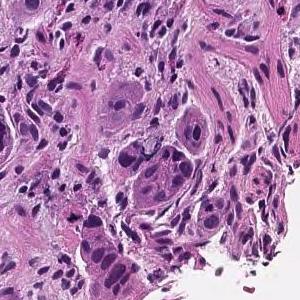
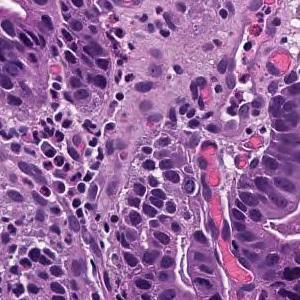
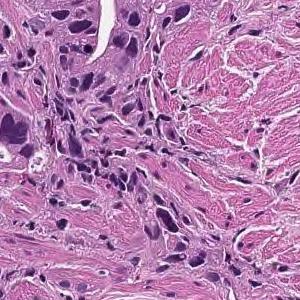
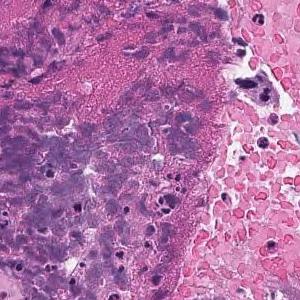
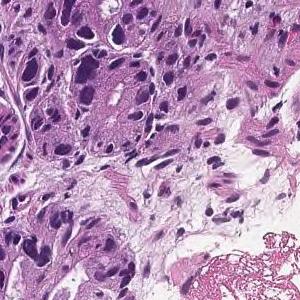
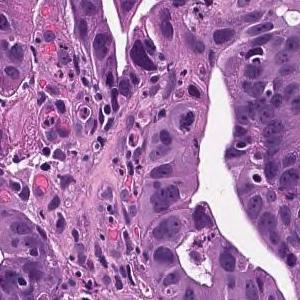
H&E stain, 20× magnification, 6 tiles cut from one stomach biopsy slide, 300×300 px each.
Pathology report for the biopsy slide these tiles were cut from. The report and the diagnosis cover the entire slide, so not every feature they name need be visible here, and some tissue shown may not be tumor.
In the superficial epithelium, tumor tissue that invades by forming medium-sized to small, irregular ducts is observed. moderately differentiated tubular adenocarcinoma.
